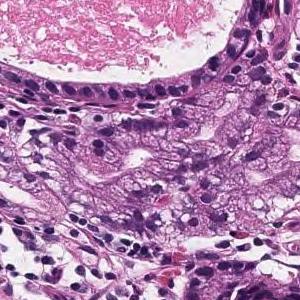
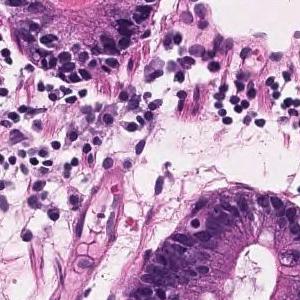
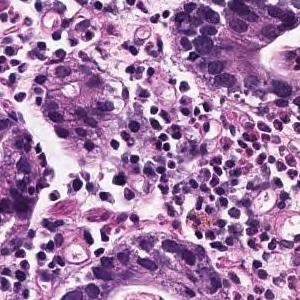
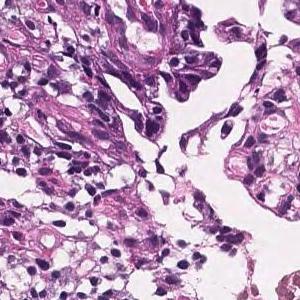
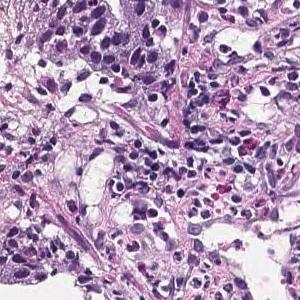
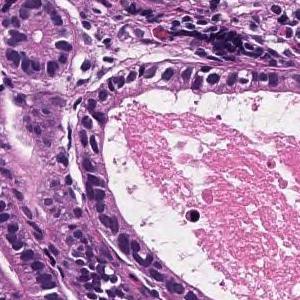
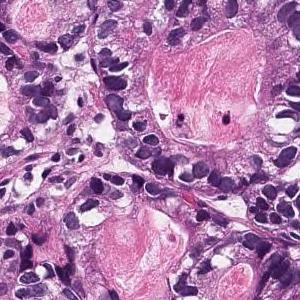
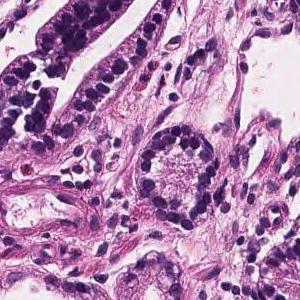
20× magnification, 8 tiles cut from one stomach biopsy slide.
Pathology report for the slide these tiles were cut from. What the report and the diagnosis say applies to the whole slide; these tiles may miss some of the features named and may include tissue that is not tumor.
Tumor tissue consisting of medium-sized and irregular ducts is observed infiltrating in the superficial epithelium. Tumor cells are highly columnar, with nuclei aligned basolaterally and polarized. Well differentiated tubular adenocarcinoma.
